×20 · H&E · 11 image tiles from a single gastric biopsy slide.
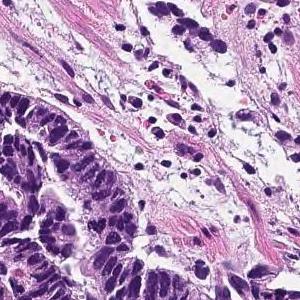
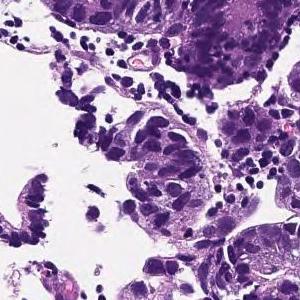
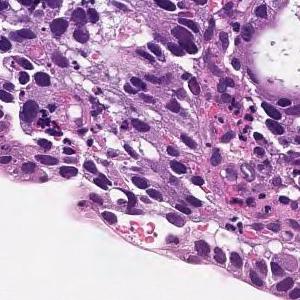
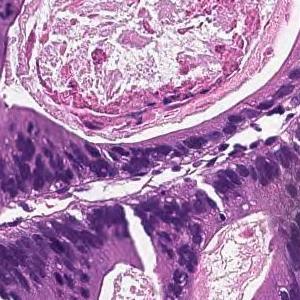
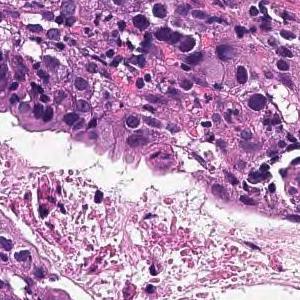
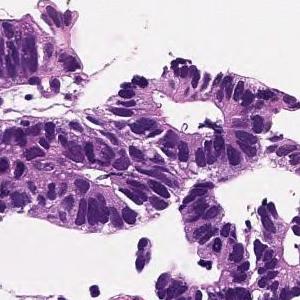
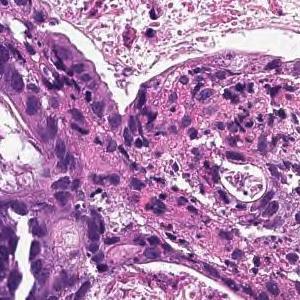
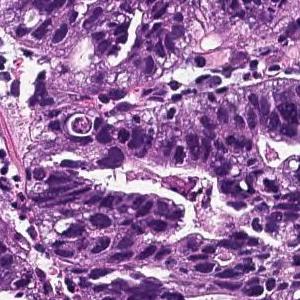
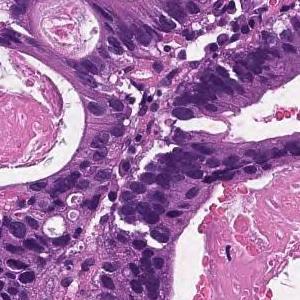
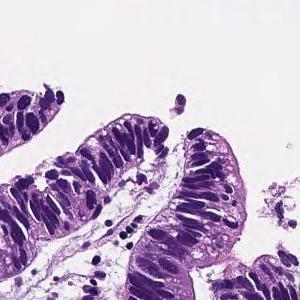
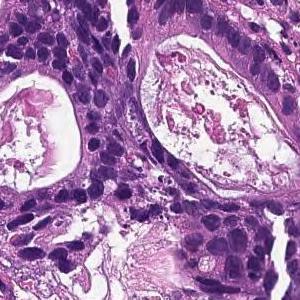
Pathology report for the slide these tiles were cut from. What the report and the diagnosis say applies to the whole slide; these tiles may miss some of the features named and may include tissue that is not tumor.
In the superficial epithelium, tumor tissue that invades by forming medium-sized to small, irregular ducts is observed. moderately differentiated tubular adenocarcinoma.
